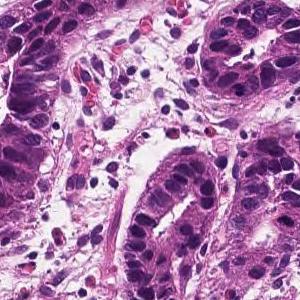
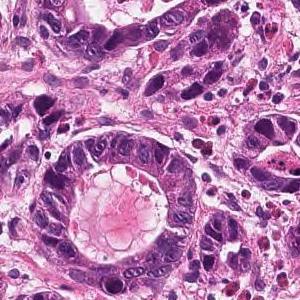
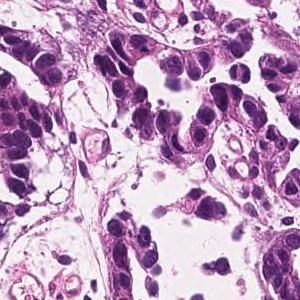
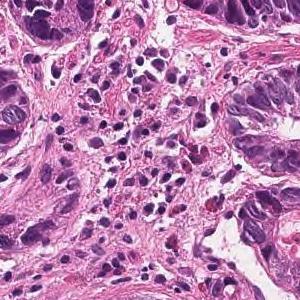
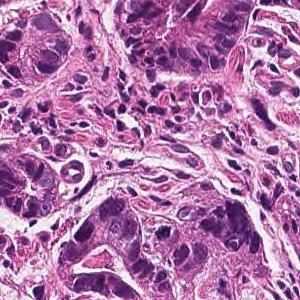
5 image tiles from a single gastric biopsy slide, 300 × 300 pixels each, H&E, 20× magnification.
Diagnostic report for the slide these tiles come from. The report and the diagnosis describe the slide as a whole, so these tiles may not show every feature named and may include non-tumor tissue.
In the superficial epithelium, tumor tissue that invades by forming medium-sized to small, irregular ducts is observed. Well differentiated tubular adenocarcinoma.
